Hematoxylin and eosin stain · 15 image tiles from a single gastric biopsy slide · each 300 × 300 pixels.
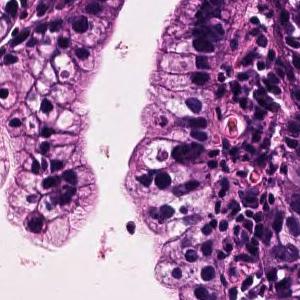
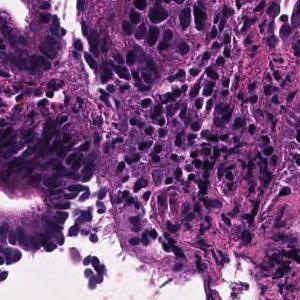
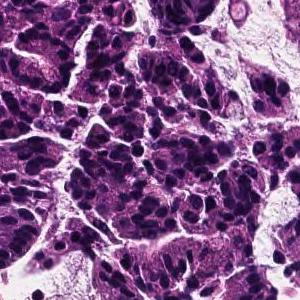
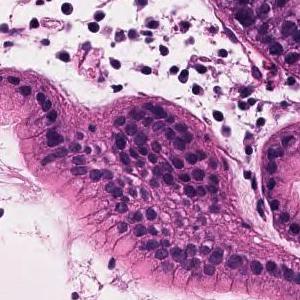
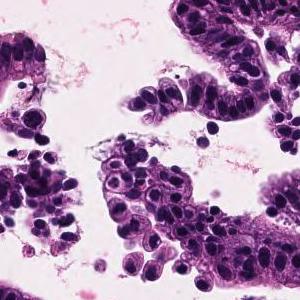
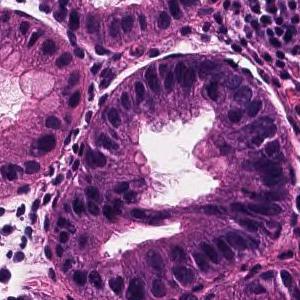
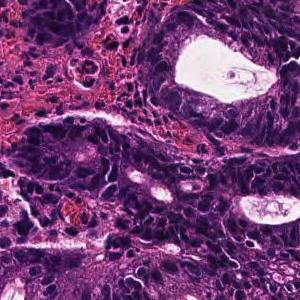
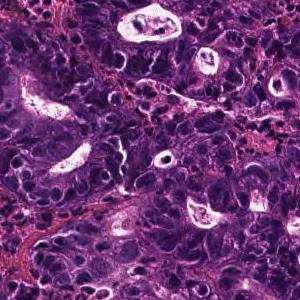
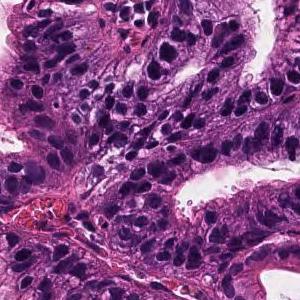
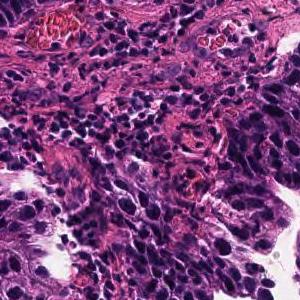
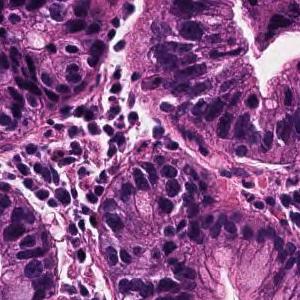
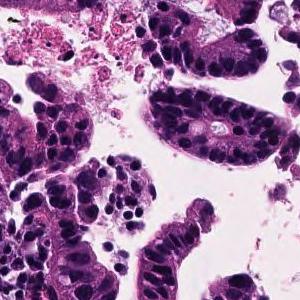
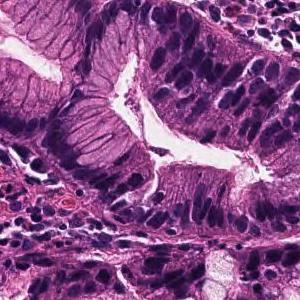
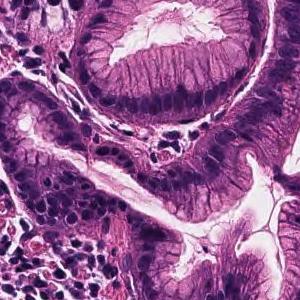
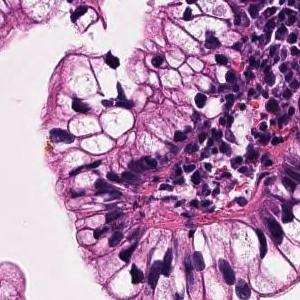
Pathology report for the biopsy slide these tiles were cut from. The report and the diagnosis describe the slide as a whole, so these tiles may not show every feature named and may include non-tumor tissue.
Tumor cells are large, highly columnar, large club-shaped nuclei, and are associated with chromatin aggregation. Papillary adenocarcinoma.
